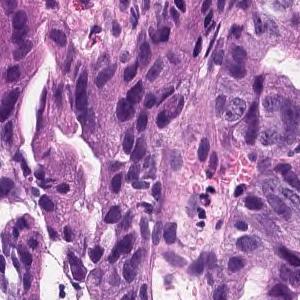
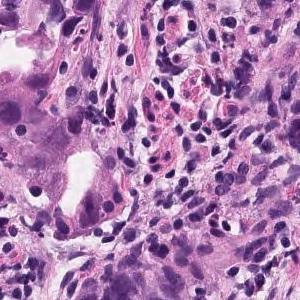
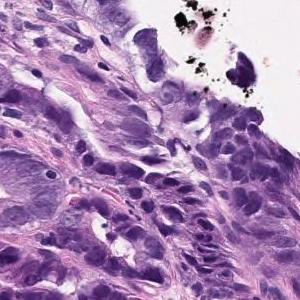
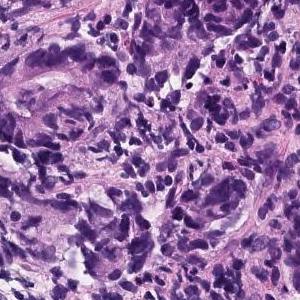
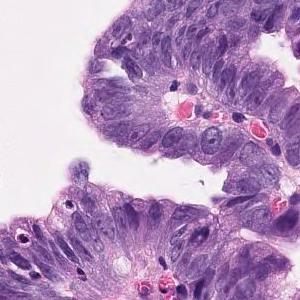
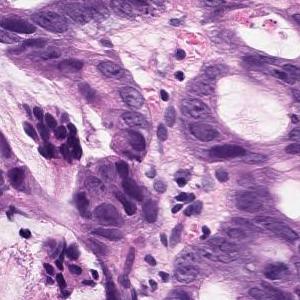
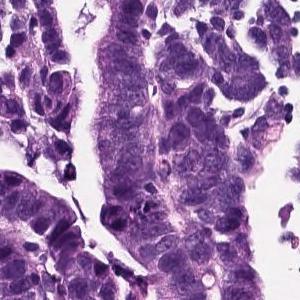
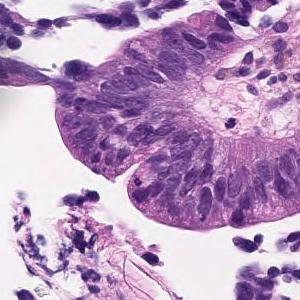
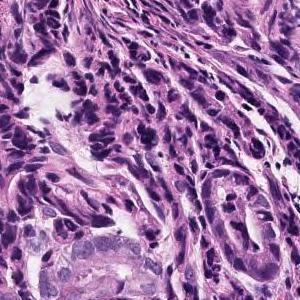
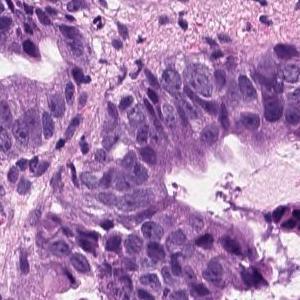
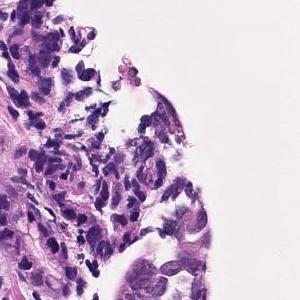
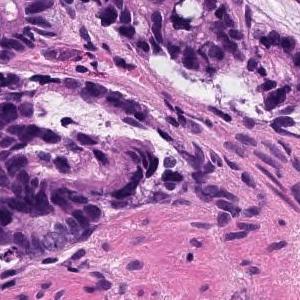
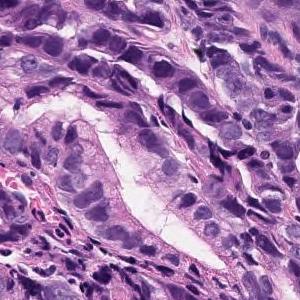
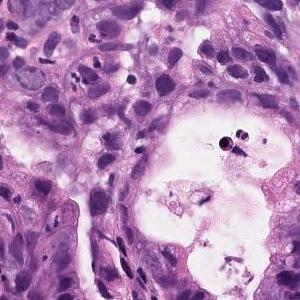
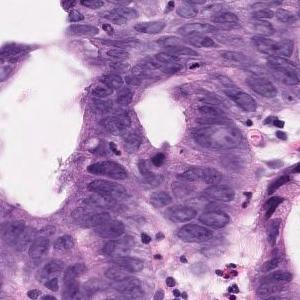
15 tiles from the same stomach biopsy slide · hematoxylin and eosin stain · ×20.
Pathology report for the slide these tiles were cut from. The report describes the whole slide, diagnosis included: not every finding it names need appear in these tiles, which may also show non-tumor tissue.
The swollen atypical epithelium of the nucleus forms an irregular ductal structure and proliferates. moderately differentiated tubular adenocarcinoma
